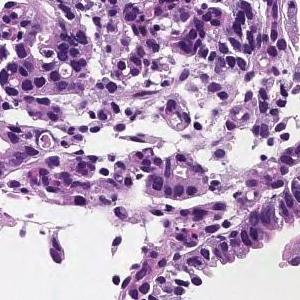
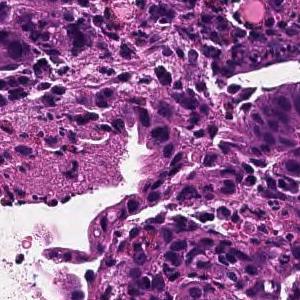
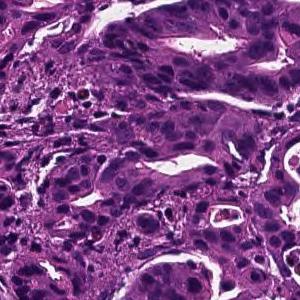
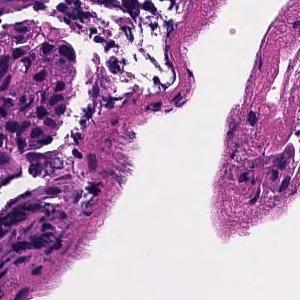
4 image tiles from a single gastric biopsy slide, 300×300 px each, ×20, hematoxylin and eosin stain.
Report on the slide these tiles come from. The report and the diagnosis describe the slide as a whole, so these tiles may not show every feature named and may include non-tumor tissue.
In the superficial epithelium, tumor tissue that invades by forming medium-sized to small, irregular ducts is observed. moderately differentiated tubular adenocarcinoma.
